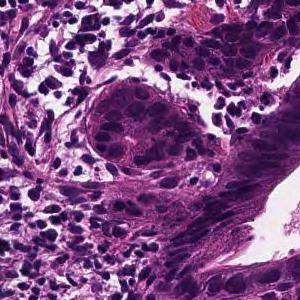
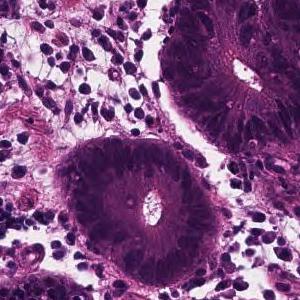
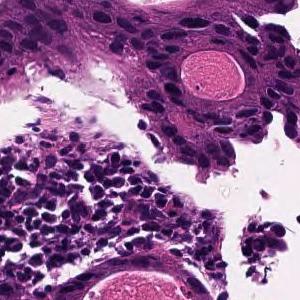
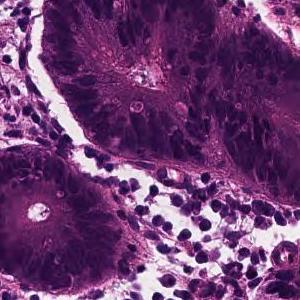
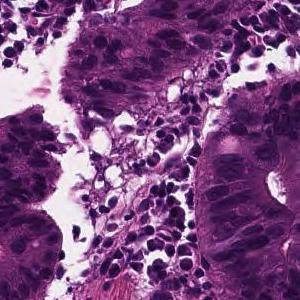
20× magnification · H&E · 5 tiles cut from one stomach biopsy slide.
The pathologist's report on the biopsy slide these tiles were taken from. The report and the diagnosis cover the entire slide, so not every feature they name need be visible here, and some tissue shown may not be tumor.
In the superficial epithelium, tumor tissue that invades by forming medium-sized to small, irregular ducts is observed. moderately differentiated tubular adenocarcinoma.
